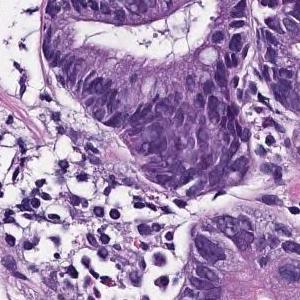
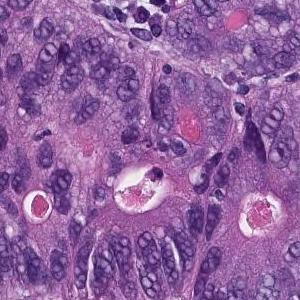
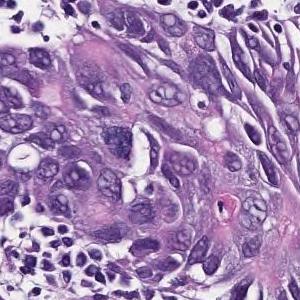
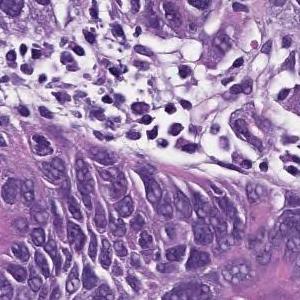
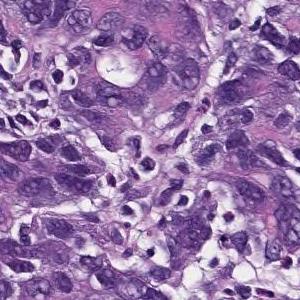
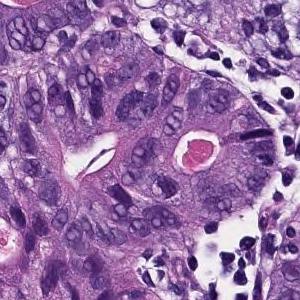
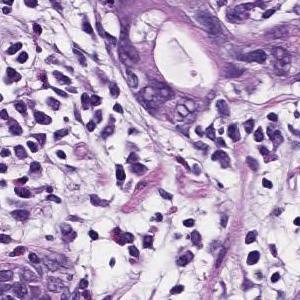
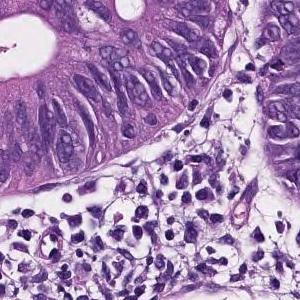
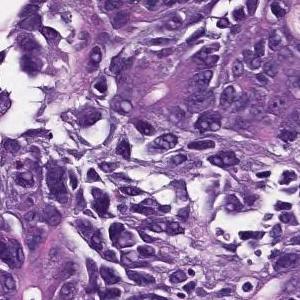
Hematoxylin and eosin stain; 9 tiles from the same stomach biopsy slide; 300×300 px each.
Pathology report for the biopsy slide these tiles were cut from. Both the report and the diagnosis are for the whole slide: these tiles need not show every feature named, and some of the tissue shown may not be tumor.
In the superficial epithelium, tumor tissue that invades by forming medium-sized to small, irregular ducts is observed. moderately differentiated tubular adenocarcinoma.
